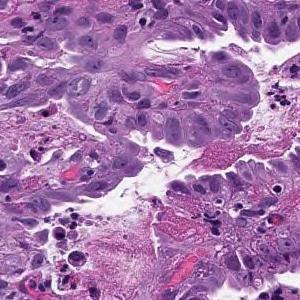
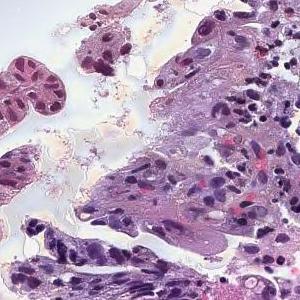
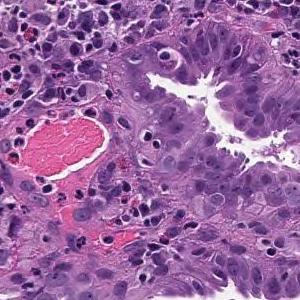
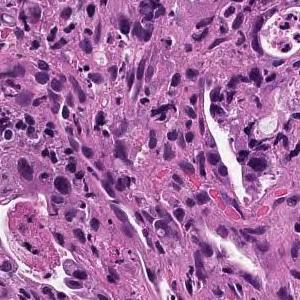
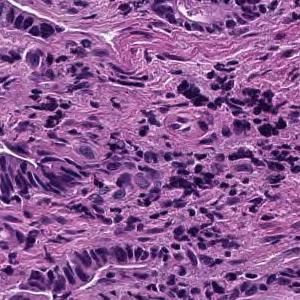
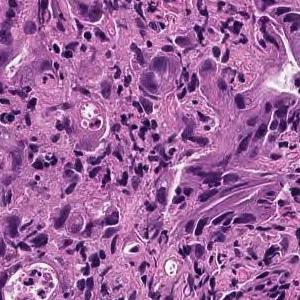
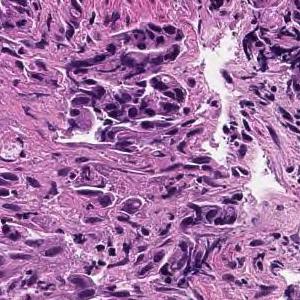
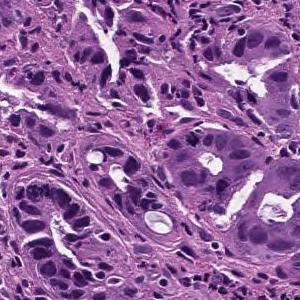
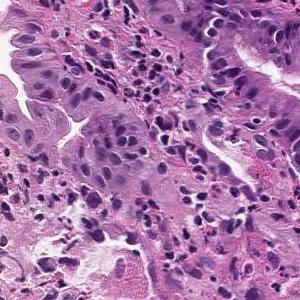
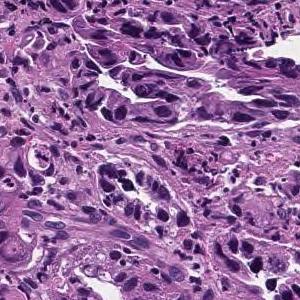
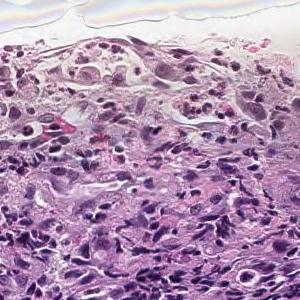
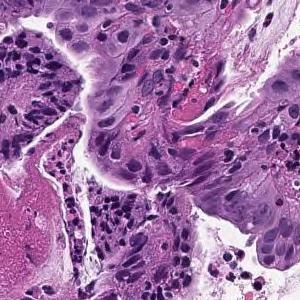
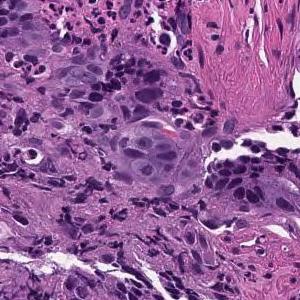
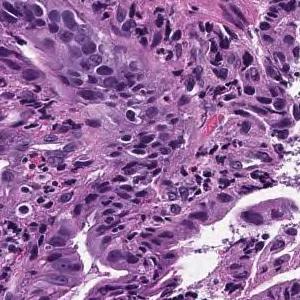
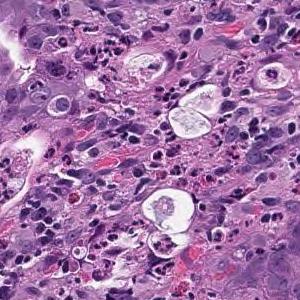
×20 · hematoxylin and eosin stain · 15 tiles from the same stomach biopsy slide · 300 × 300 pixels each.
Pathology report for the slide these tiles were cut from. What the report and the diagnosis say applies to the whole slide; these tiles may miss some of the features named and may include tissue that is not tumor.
On the superficial epithelium, tumor tissue consisting of large, irregular glandular ducts partially fused and infiltrated is observed. Well to moderately differentiated tubular adenocarcinoma (well differentiated tubular adenocarcinoma, moderately differentiated tubular adenocarcinoma)
Histologic type: Well to moderately differentiated tubular adenocarcinoma.
